H&E; scanned at ×20; 5 patches cut from one gastric biopsy slide; 300×300 px each.
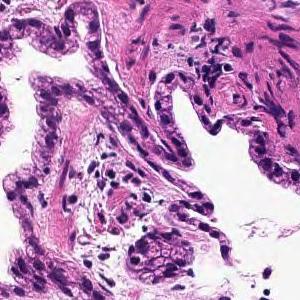
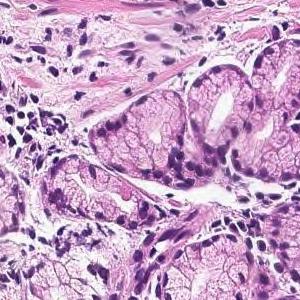
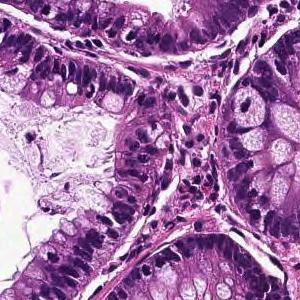
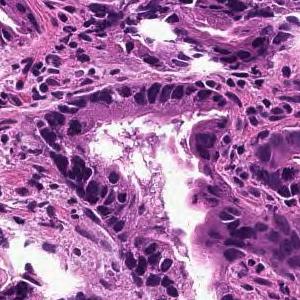
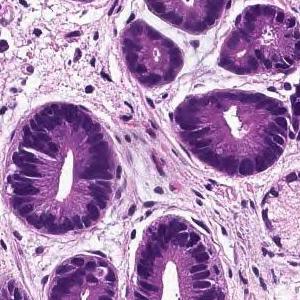
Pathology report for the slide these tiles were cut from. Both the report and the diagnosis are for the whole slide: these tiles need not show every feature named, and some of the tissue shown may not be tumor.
From the superficial epithelium to the muscularis mucosae, tumor tissue consisting of medium-sized and irregular glandular ducts infiltrating is observed. Well differentiated tubular adenocarcinoma
